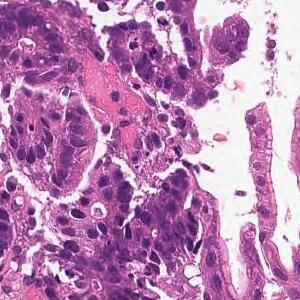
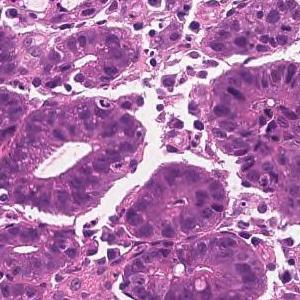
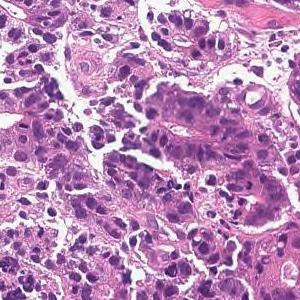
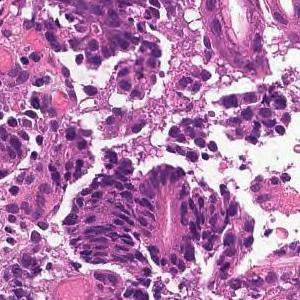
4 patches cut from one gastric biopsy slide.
Pathology report for the slide these tiles were cut from. The report describes the whole slide, diagnosis included: not every finding it names need appear in these tiles, which may also show non-tumor tissue.
From the superficial epithelium to the muscularis mucosae, tumor tissue consisting of medium-sized and irregular glandular ducts infiltrating is observed. Well differentiated tubular adenocarcinoma
